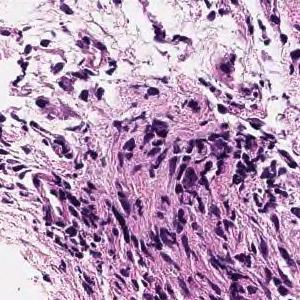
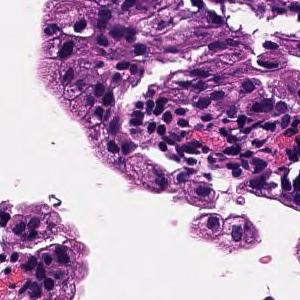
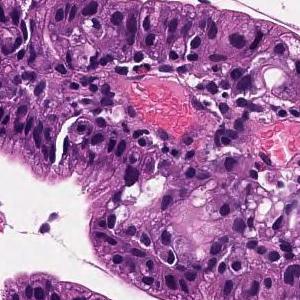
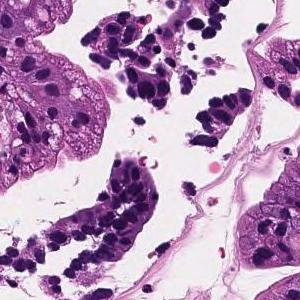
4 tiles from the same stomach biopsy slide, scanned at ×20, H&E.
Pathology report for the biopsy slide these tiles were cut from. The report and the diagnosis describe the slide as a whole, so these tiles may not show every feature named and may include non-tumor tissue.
On the superficial epithelium, tumor tissue that infiltrates by forming medium-sized papillary or small irregular ducts is observed. Papillary adenocarcinoma
